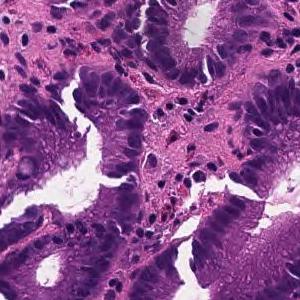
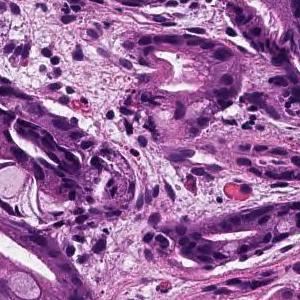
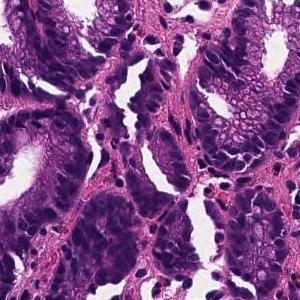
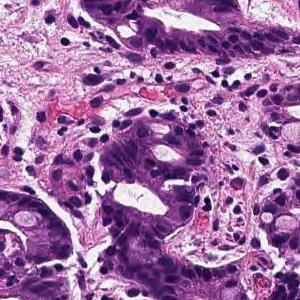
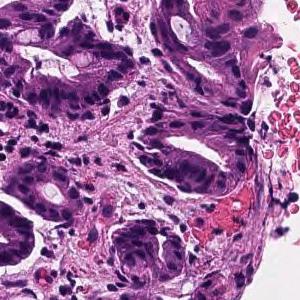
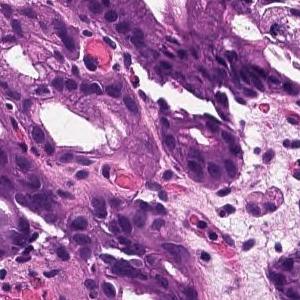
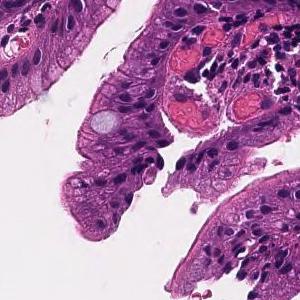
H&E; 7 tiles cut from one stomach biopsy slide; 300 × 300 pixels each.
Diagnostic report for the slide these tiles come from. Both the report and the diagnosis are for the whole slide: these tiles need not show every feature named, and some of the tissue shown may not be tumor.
From the superficial epithelium to the muscularis mucosae, tumor tissue consisting of medium-sized and irregular glandular ducts infiltrating is observed. Well differentiated tubular adenocarcinoma
